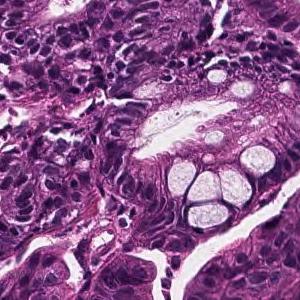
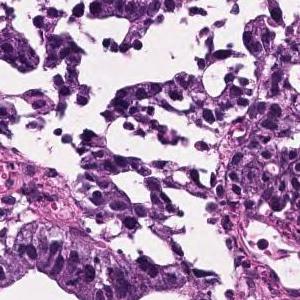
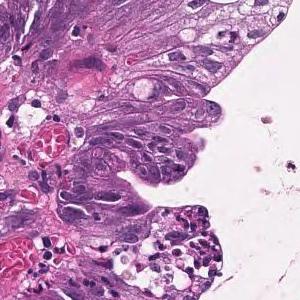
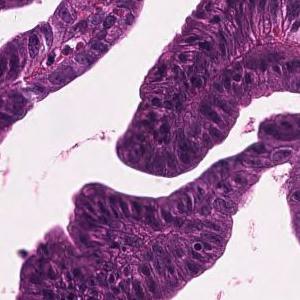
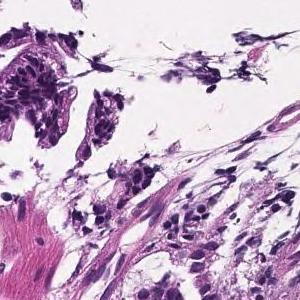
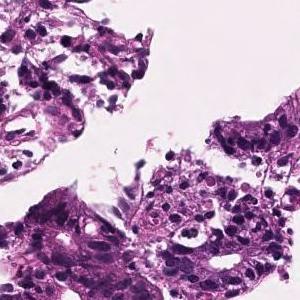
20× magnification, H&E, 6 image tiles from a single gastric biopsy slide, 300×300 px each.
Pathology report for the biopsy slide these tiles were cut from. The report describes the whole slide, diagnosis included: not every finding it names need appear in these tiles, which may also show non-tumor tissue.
In the superficial epithelium, tumor tissue that invades by forming medium-sized to small, irregular ducts is observed. Well differentiated tubular adenocarcinoma.
